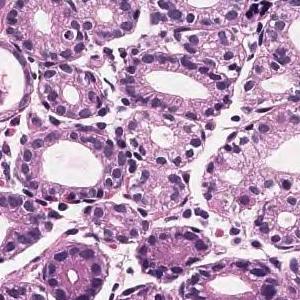
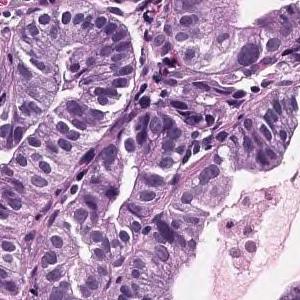
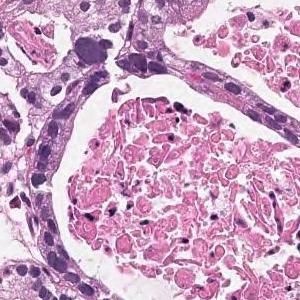
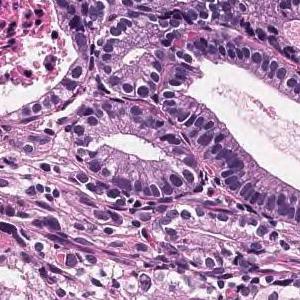
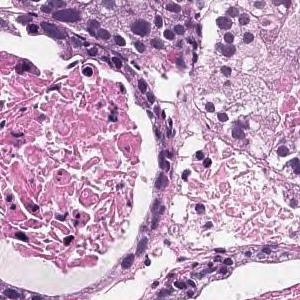
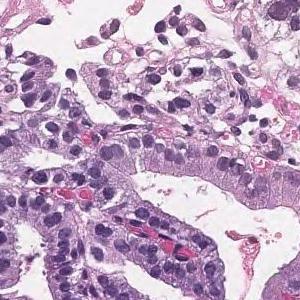
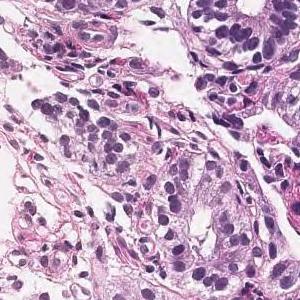
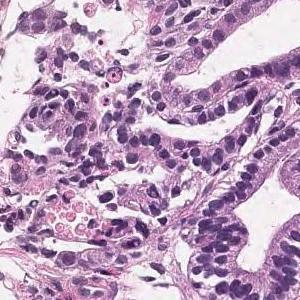
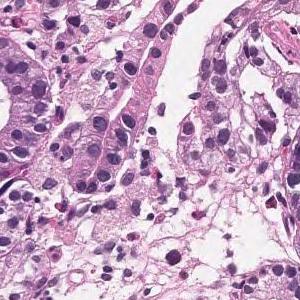
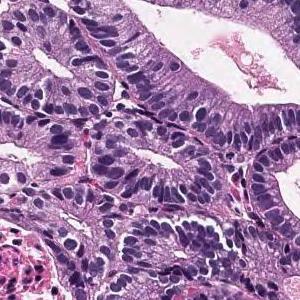
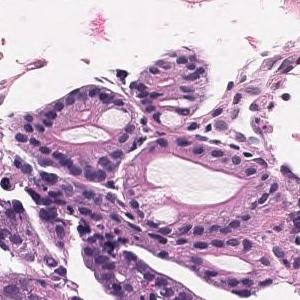
H&E stain, ×20, 11 tiles cut from one stomach biopsy slide, 300×300 px each.
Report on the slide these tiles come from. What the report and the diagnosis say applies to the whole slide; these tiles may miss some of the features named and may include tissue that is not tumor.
Tumor tissue forming round ducts of different sizes is observed, and cells that have fallen into apoptosis are observed in some ducts. Well differentiated tubular adenocarcinoma
